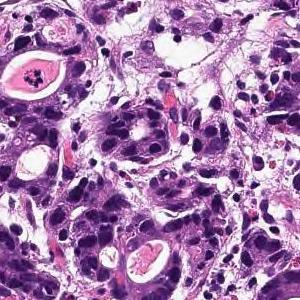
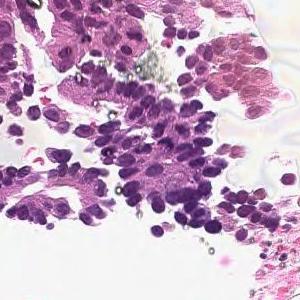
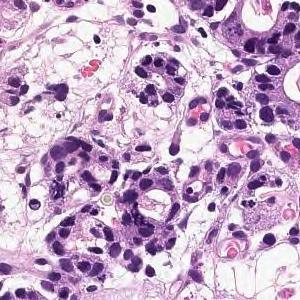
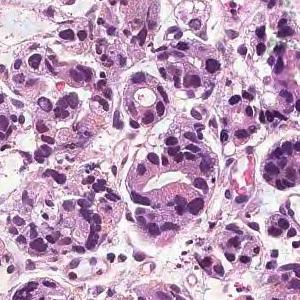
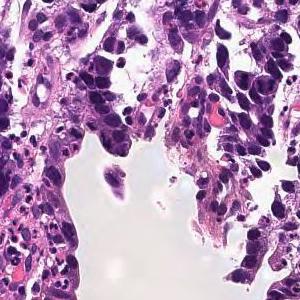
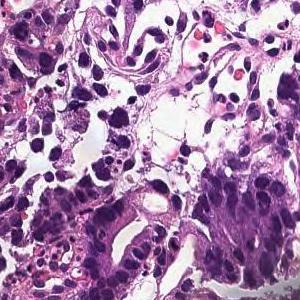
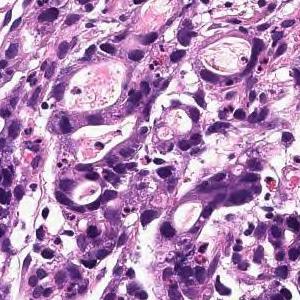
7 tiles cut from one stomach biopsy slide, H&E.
Diagnostic report for the slide these tiles come from. The report and the diagnosis describe the slide as a whole, so these tiles may not show every feature named and may include non-tumor tissue.
In the superficial epithelium, tumor tissue that invades by forming medium-sized to small, irregular ducts is observed. moderately differentiated tubular adenocarcinoma.
